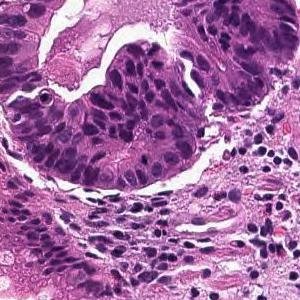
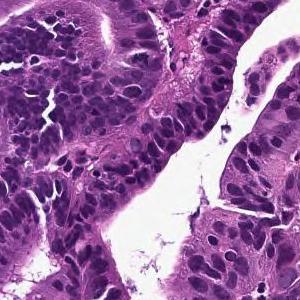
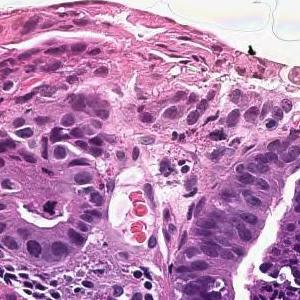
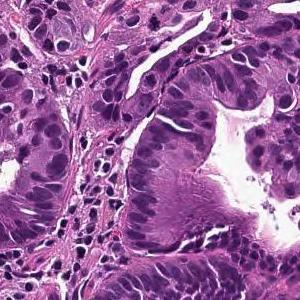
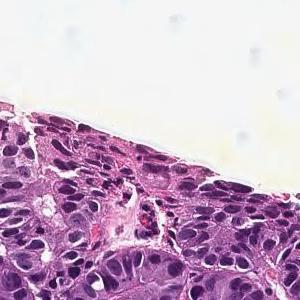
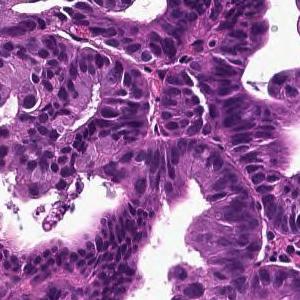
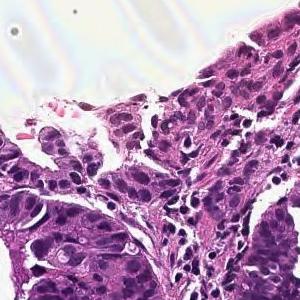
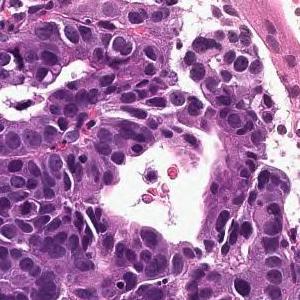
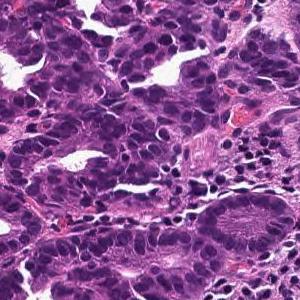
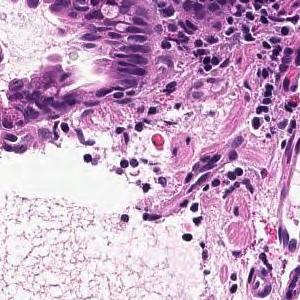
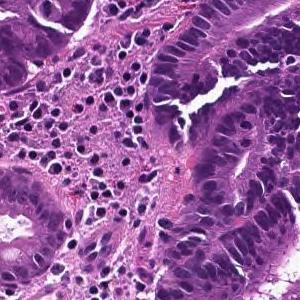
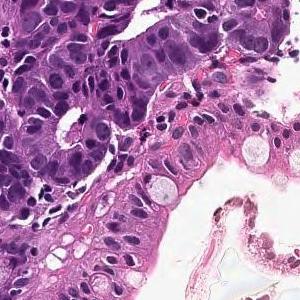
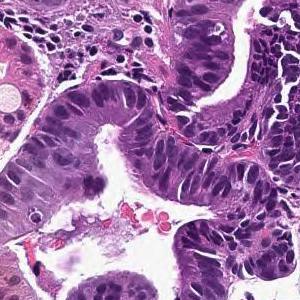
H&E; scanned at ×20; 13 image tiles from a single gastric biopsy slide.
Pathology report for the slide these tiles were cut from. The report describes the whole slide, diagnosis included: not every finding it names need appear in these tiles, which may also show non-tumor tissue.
Tumor cells are large, highly columnar, large club-shaped nuclei, and are associated with chromatin aggregation. Papillary adenocarcinoma.
